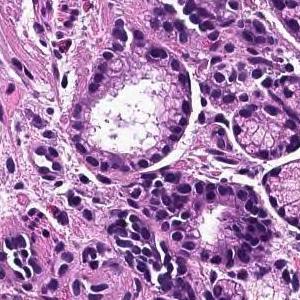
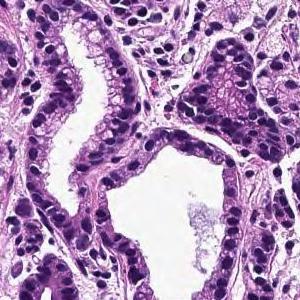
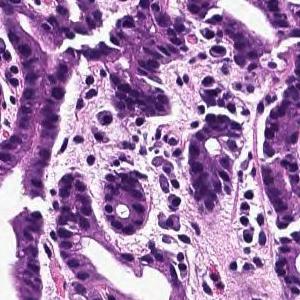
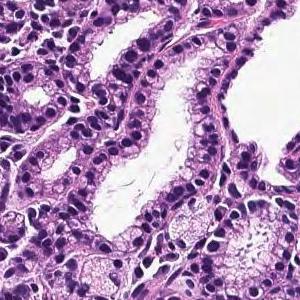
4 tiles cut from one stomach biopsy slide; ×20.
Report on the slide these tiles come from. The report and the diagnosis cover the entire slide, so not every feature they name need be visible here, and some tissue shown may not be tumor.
In the superficial epithelium, tumor tissue that invades by forming medium-sized to small, irregular ducts is observed. moderately differentiated tubular adenocarcinoma.
